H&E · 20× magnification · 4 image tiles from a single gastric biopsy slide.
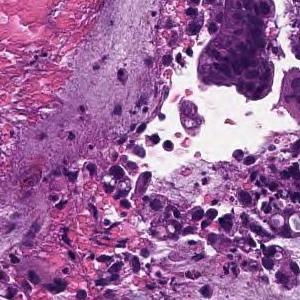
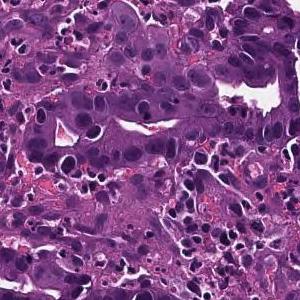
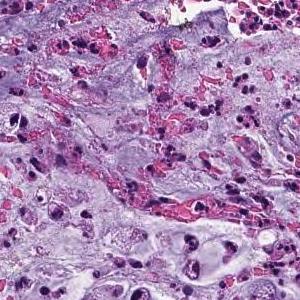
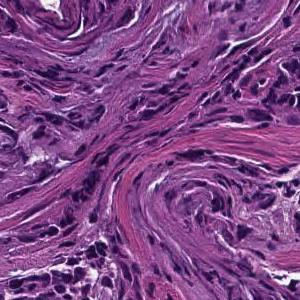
Report on the slide these tiles come from. The report and the diagnosis describe the slide as a whole, so these tiles may not show every feature named and may include non-tumor tissue.
On the superficial epithelium, tumor tissue consisting of large irregular glandular ducts partially fused and infiltrated is observed. Well to moderately differentiated tubular adenocarcinoma (well differentiated tubular adenocarcinoma, moderately differentiated tubular adenocarcinoma)
Subtype: Well to moderately differentiated tubular adenocarcinoma.
